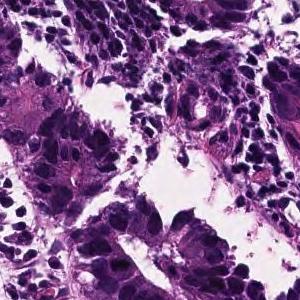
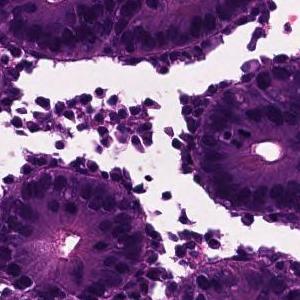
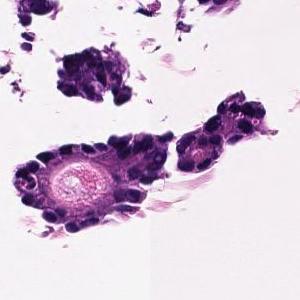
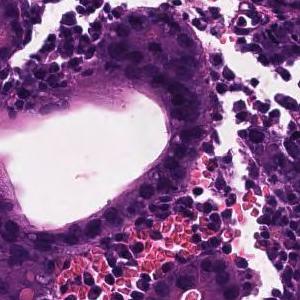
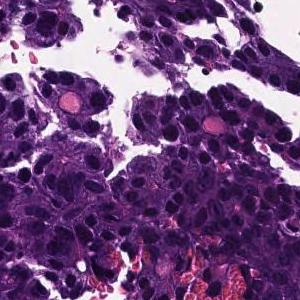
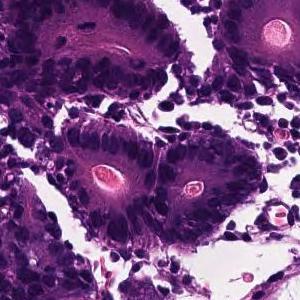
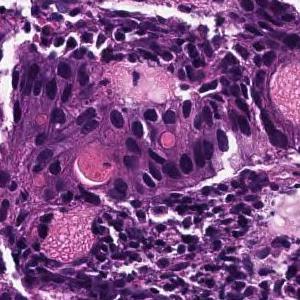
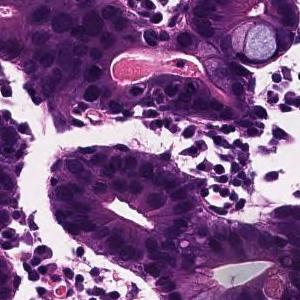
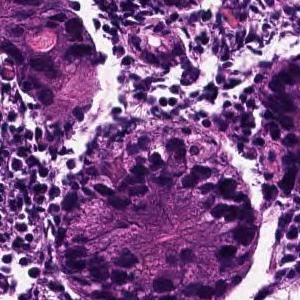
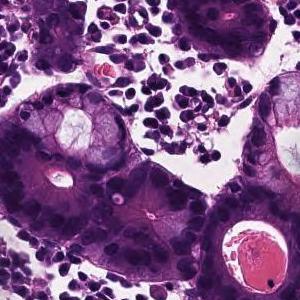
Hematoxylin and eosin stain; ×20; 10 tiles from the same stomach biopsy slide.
Report on the slide these tiles come from. The findings and the diagnosis refer to the entire slide; these tiles show only part of it, possibly with non-tumor tissue, and may not show every feature named.
From the superficial epithelium to the muscularis mucosae, tumor tissue infiltrating by forming medium-sized irregular gland ducts is observed. Large tumor cells exhibit large nucleus and hyperchromatism. Well differentiated tubular adenocarcinoma
